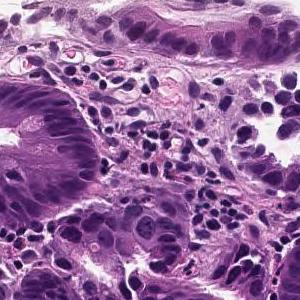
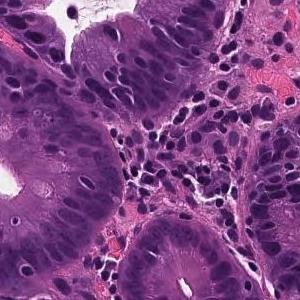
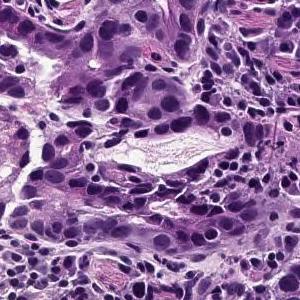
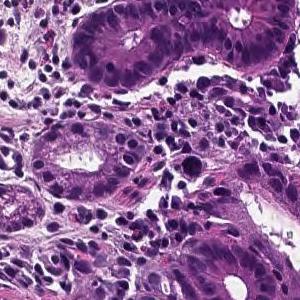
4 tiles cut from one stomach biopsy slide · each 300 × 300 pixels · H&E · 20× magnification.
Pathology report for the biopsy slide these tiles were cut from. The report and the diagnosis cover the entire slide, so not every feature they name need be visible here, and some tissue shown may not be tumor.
From the superficial epithelium to the muscularis mucosae, tumor tissue consisting of medium-sized and irregular glandular ducts infiltrating is observed. Well differentiated tubular adenocarcinoma
